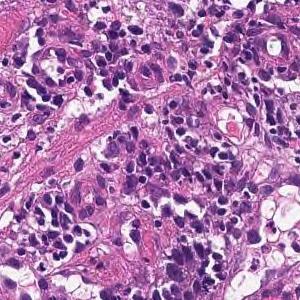
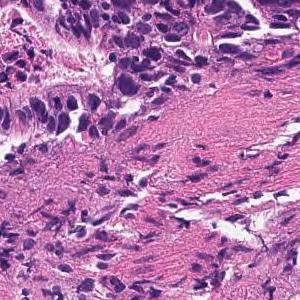
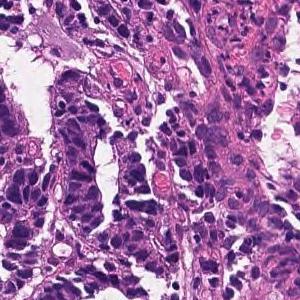
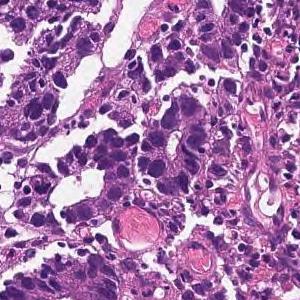
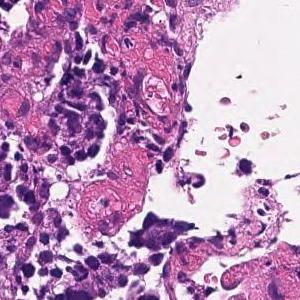
5 tiles cut from one stomach biopsy slide, 20× magnification, hematoxylin and eosin stain.
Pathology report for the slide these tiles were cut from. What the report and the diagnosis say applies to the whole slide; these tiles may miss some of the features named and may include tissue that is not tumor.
In the superficial epithelium, tumor tissue that invades by forming medium-sized to small, irregular ducts is observed. Moderately differentiated adenocarcinoma (moderately differentiated tubular adenocarcinoma).
Subtype: Moderately differentiated tubular adenocarcinoma.
